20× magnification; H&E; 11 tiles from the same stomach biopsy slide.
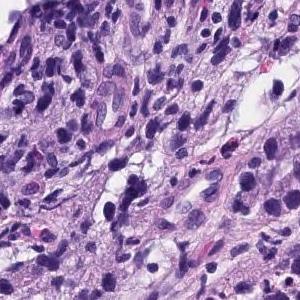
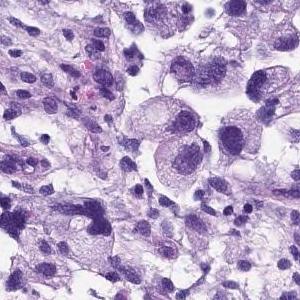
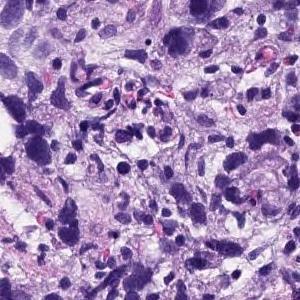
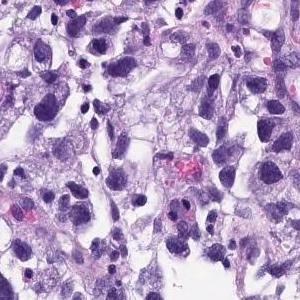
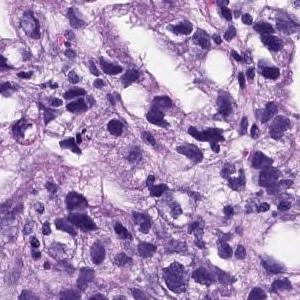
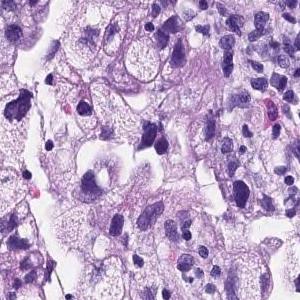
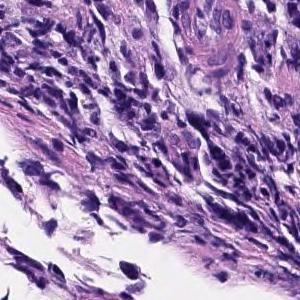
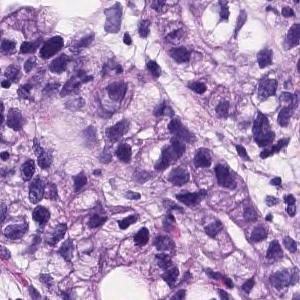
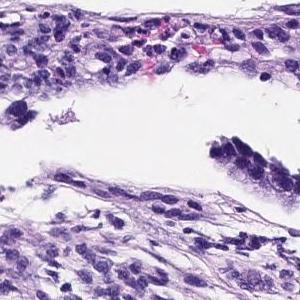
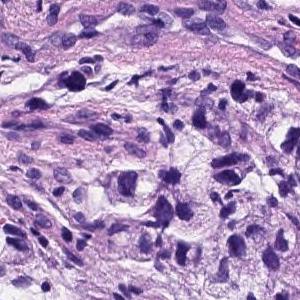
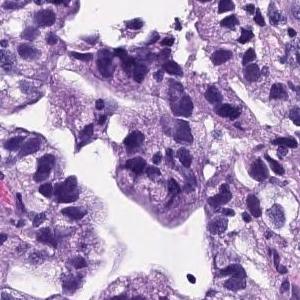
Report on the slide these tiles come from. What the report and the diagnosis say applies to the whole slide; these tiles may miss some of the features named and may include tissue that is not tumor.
Medium to small, irregular glandular ducts are formed in the superficial epithelium, and in some cases, the glandular ducts are fused to show solid alveolar lesions and infiltrating tumor tissue is observed. Poorly differentiated adenocarcinoma, Moderately differentiated adenocarcinoma.
Dataset label: moderately differentiated tubular adenocarcinoma.
